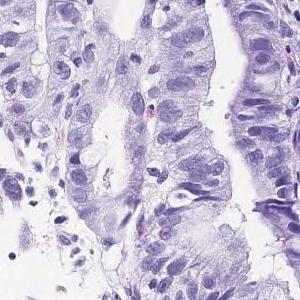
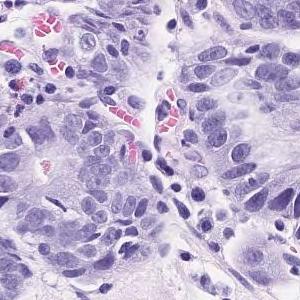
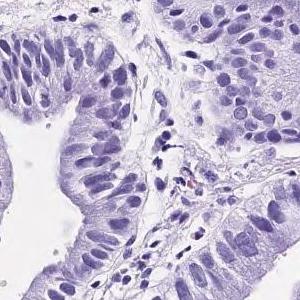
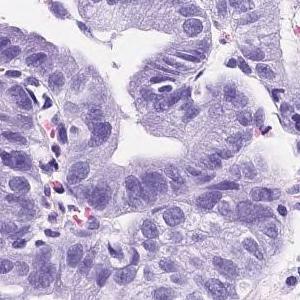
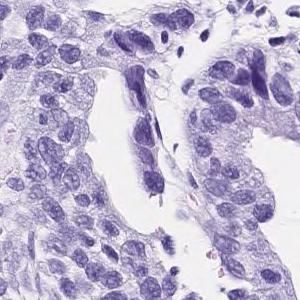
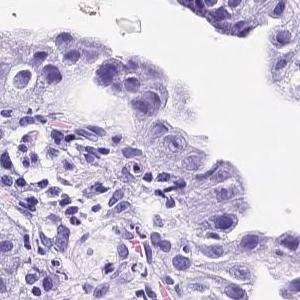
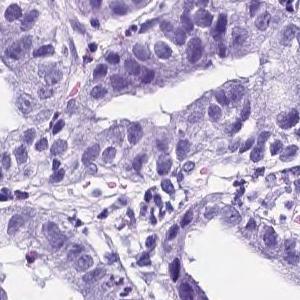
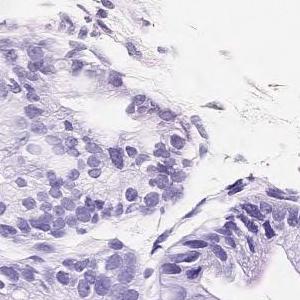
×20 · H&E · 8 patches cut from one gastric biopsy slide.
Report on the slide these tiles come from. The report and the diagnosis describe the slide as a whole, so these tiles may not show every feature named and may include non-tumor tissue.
Tumor tissue consisting of medium-sized and irregular ducts is observed infiltrating in the superficial epithelium. Tumor cells are highly columnar, with nuclei aligned basolaterally and polarized. Well differentiated tubular adenocarcinoma.
